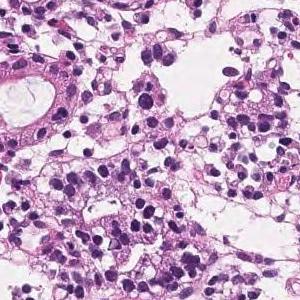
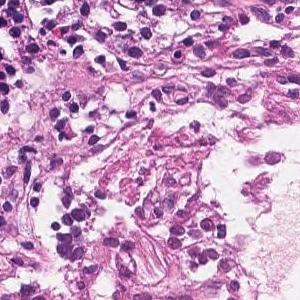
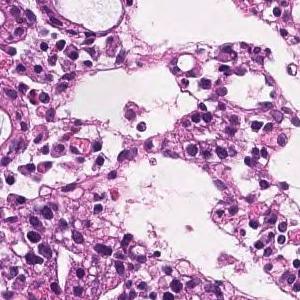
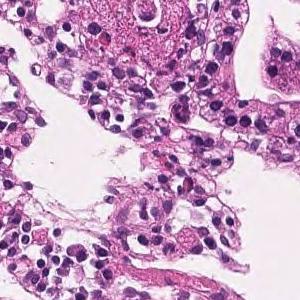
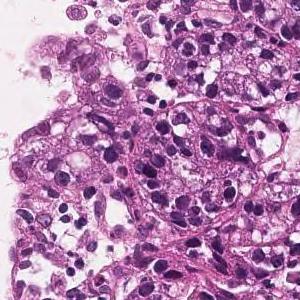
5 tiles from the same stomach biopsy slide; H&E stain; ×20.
Pathology report for the biopsy slide these tiles were cut from. The report and the diagnosis describe the slide as a whole, so these tiles may not show every feature named and may include non-tumor tissue.
In the superficial epithelium, tumor tissue that invades by forming medium-sized to small, irregular ducts is observed. moderately differentiated tubular adenocarcinoma.
